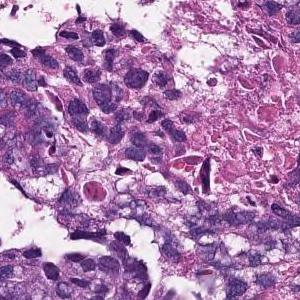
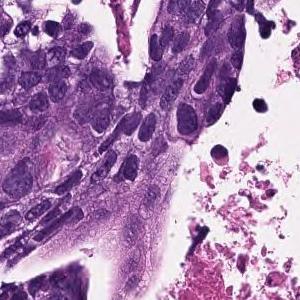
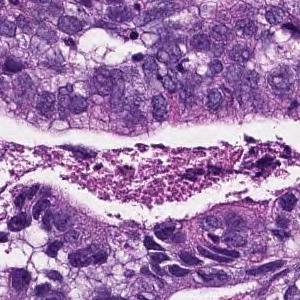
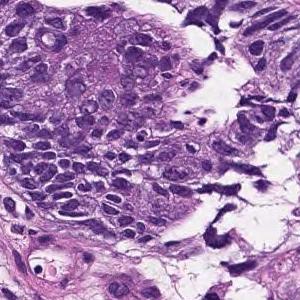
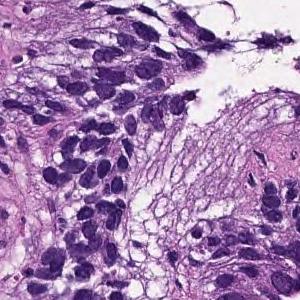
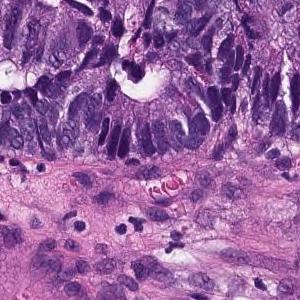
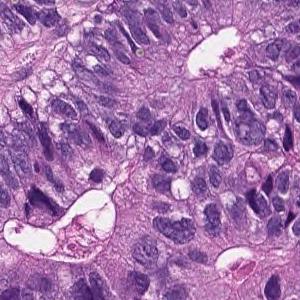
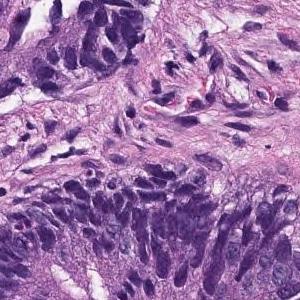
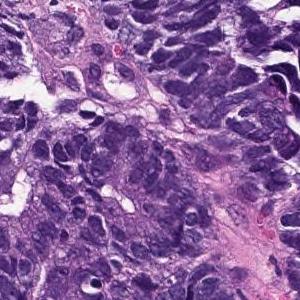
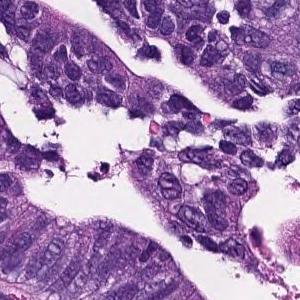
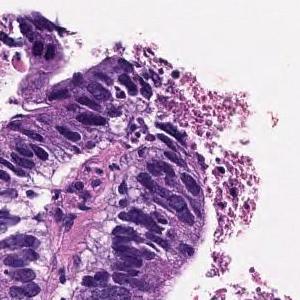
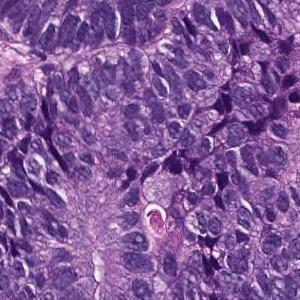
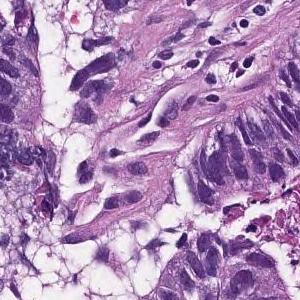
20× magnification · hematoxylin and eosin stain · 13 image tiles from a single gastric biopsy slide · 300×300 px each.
Pathology report for the biopsy slide these tiles were cut from. The report describes the whole slide, diagnosis included: not every finding it names need appear in these tiles, which may also show non-tumor tissue.
In the superficial epithelium, tumor tissue that invades by forming medium-sized to small, irregular ducts is observed. moderately differentiated tubular adenocarcinoma.
